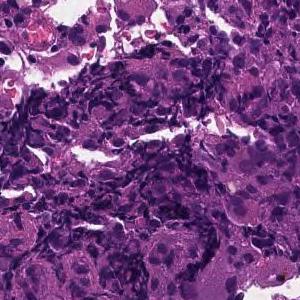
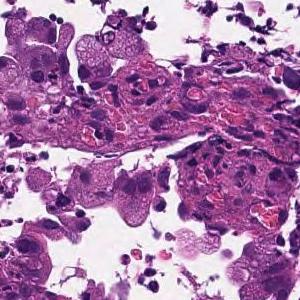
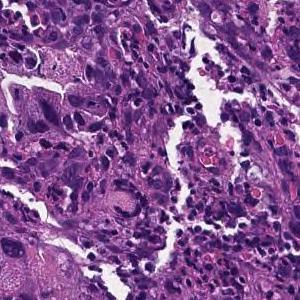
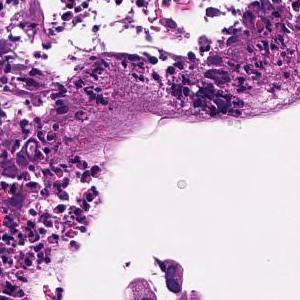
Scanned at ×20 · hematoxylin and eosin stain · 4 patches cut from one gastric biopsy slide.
Report on the slide these tiles come from. The findings and the diagnosis refer to the entire slide; these tiles show only part of it, possibly with non-tumor tissue, and may not show every feature named.
Tumor cells are medium to large, cuboidal, and have little tendency to differentiate. Poorly differentiated adenocarcinoma, solid-type  or moderately differentiated tubular adenocarcinoma
Dataset label: poorly differentiated adenocarcinoma, solid type. This name comes from the Japanese Classification of Gastric Carcinoma; the WHO 2019 classification calls it tubular adenocarcinoma, poorly differentiated.
